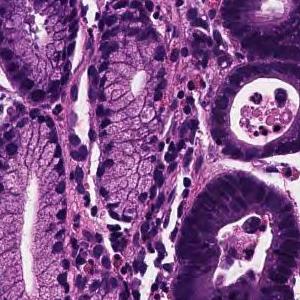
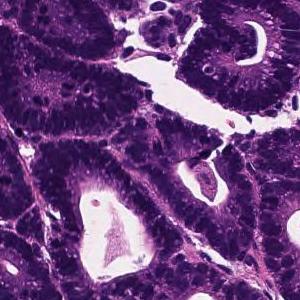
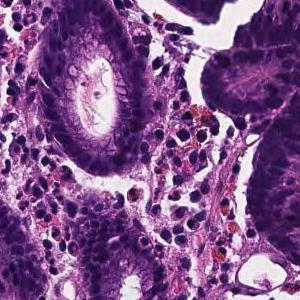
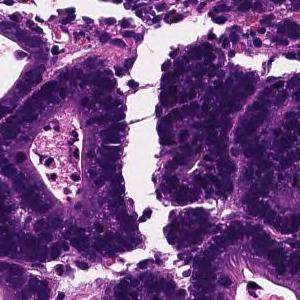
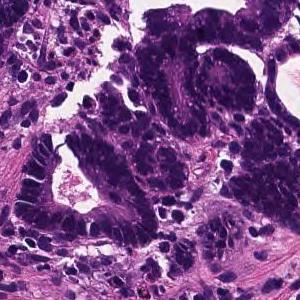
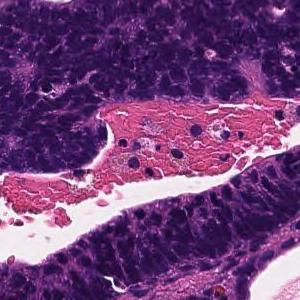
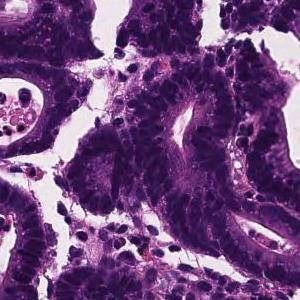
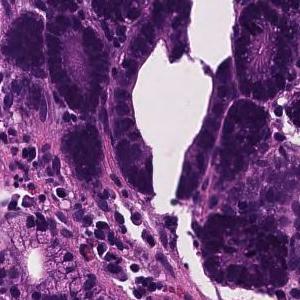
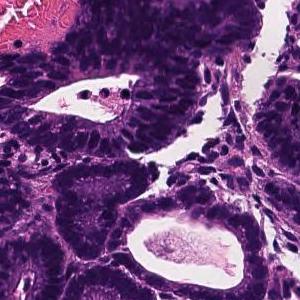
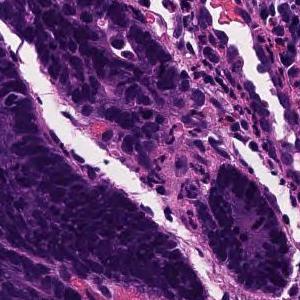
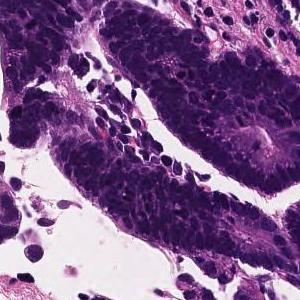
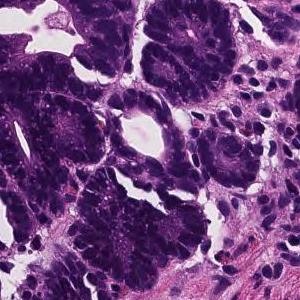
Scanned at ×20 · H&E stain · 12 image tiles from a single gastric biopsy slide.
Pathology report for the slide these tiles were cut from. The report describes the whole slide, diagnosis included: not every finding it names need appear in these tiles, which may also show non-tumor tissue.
On the superficial epithelium, tumor tissue consisting of medium-sized and irregular glandular ducts partially fused and infiltrated is observed. Well to moderately differentiated tubular adenocarcinoma (well differentiated tubular adenocarcinoma, moderately differentiated tubular adenocarcinoma)
Histological subtype: Well to moderately differentiated tubular adenocarcinoma.
